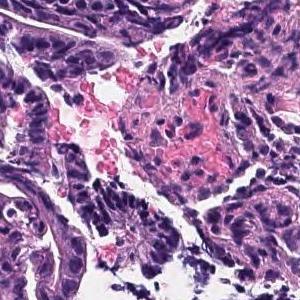
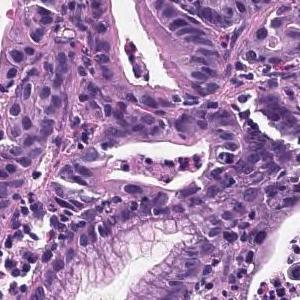
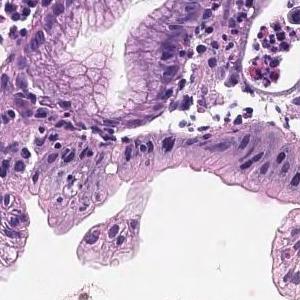
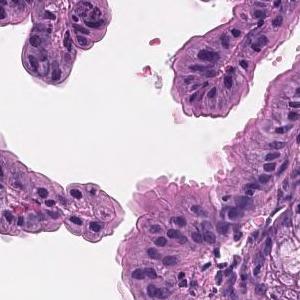
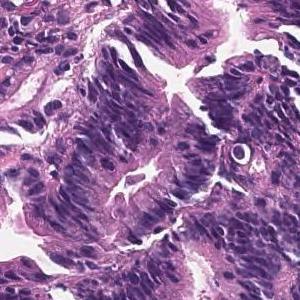
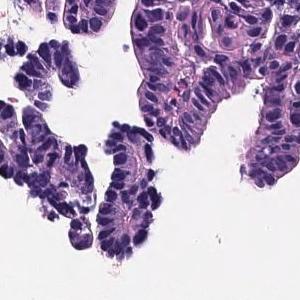
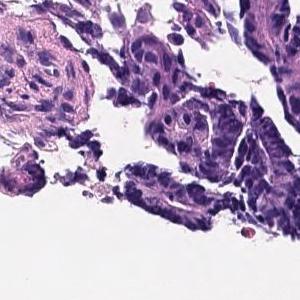
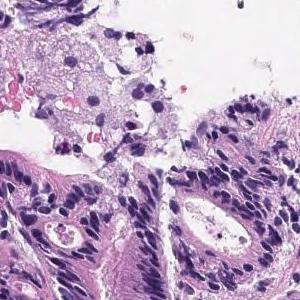
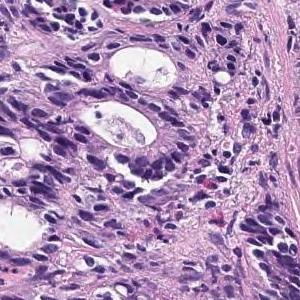
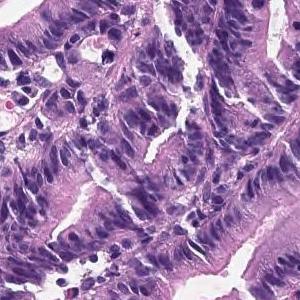
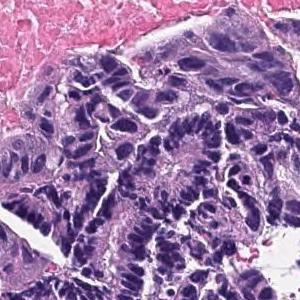
Scanned at ×20; hematoxylin and eosin stain; 11 tiles from the same stomach biopsy slide; each 300 × 300 pixels.
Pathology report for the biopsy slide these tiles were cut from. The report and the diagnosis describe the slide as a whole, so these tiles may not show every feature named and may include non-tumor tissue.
In the superficial epithelium, tumor tissue that invades by forming medium-sized to small, irregular ducts is observed. Moderately differentiated adenocarcinoma.
Classified as moderately differentiated tubular adenocarcinoma.
